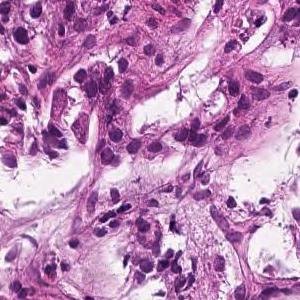
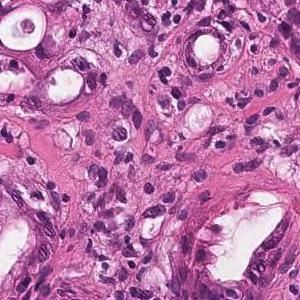
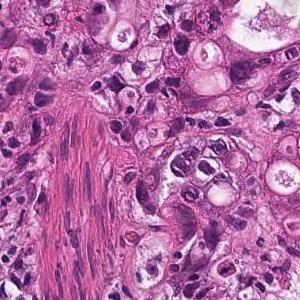
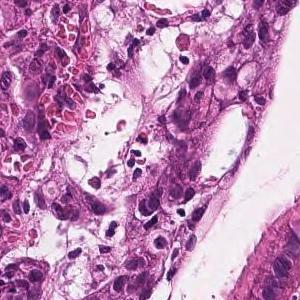
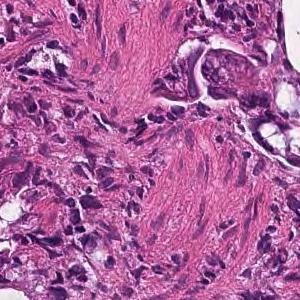
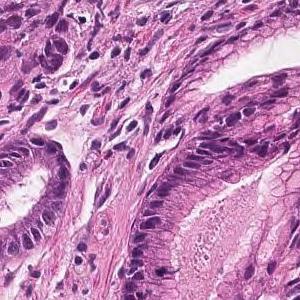
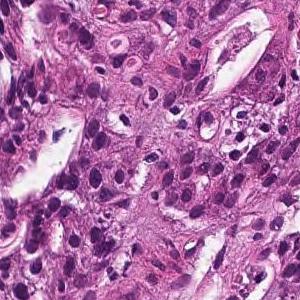
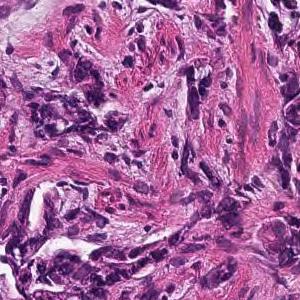
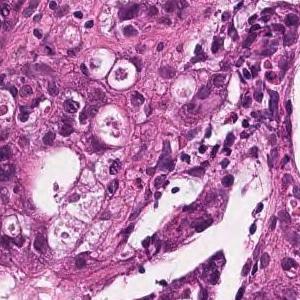
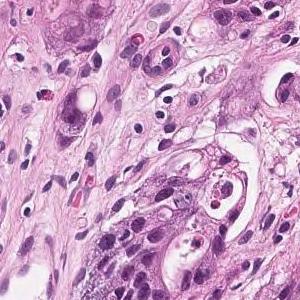
Scanned at ×20, hematoxylin and eosin stain, 10 patches cut from one gastric biopsy slide.
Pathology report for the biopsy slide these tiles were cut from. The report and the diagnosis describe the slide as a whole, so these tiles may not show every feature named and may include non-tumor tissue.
In the gastric mucosal tissue, tumor tissue that forms irregular glandular cavities of medium to small size or shows small cords and infiltrates is observed. moderately differentiated tubular adenocarcinoma
